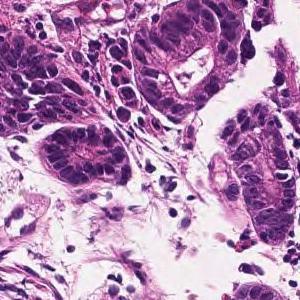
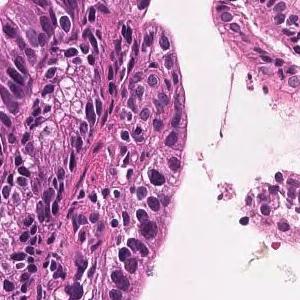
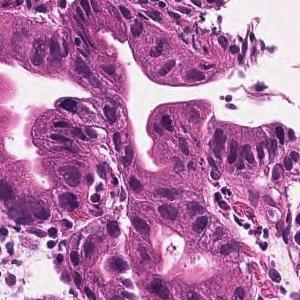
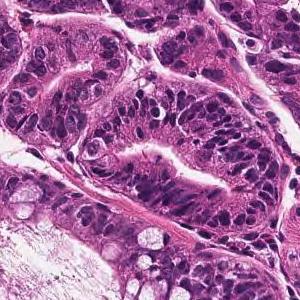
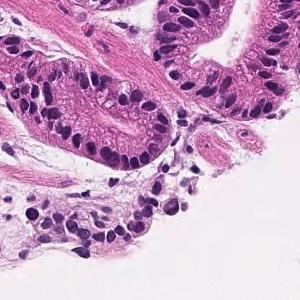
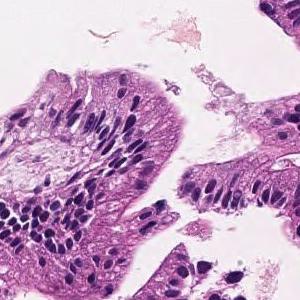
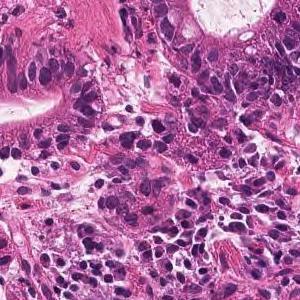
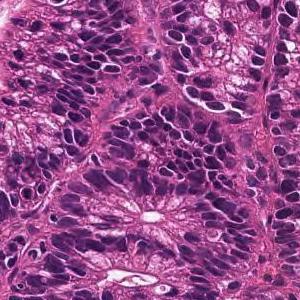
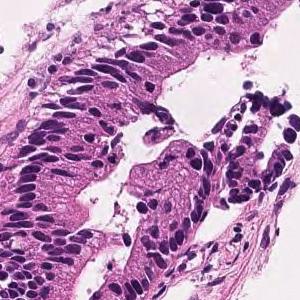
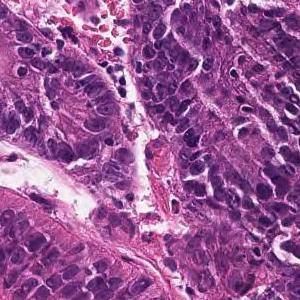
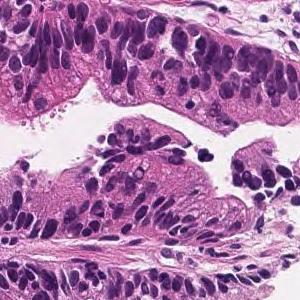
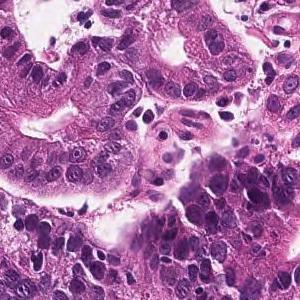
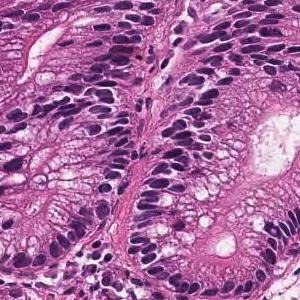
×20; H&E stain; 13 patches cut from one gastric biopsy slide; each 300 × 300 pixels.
The pathologist's report on the biopsy slide these tiles were taken from. The report and the diagnosis describe the slide as a whole, so these tiles may not show every feature named and may include non-tumor tissue.
In the superficial epithelium, tumor tissue that invades by forming medium-sized to small, irregular ducts is observed. moderately differentiated tubular adenocarcinoma.
